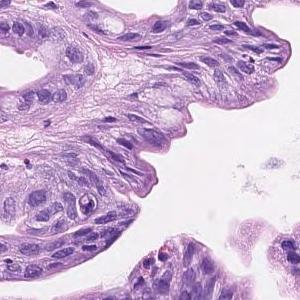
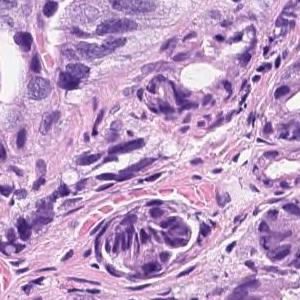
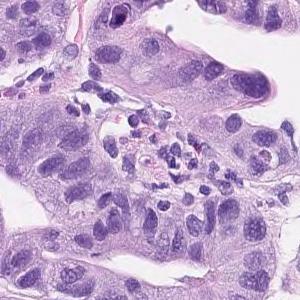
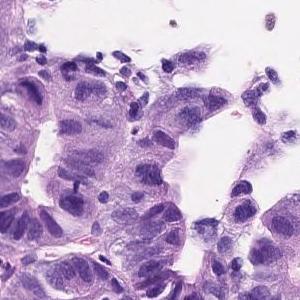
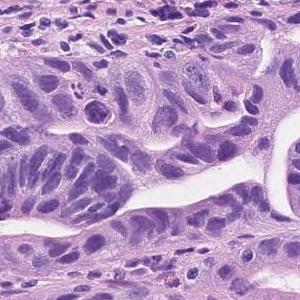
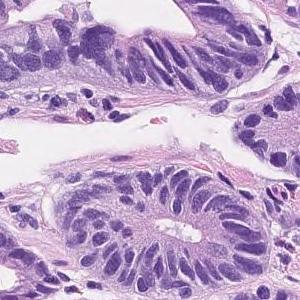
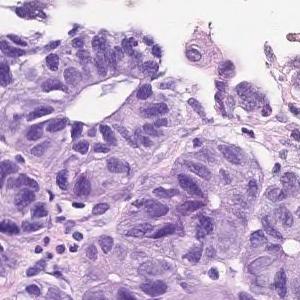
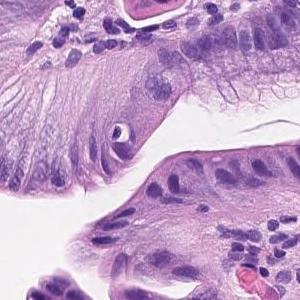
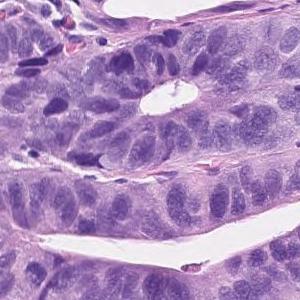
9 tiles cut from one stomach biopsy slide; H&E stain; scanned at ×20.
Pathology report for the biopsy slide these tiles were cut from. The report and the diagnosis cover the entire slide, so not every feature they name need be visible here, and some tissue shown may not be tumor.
Tumor tissue consisting of medium-sized and irregular ducts is observed infiltrating in the superficial epithelium. Tumor cells are highly columnar, with nuclei aligned basolaterally and polarized. Well differentiated tubular adenocarcinoma.
